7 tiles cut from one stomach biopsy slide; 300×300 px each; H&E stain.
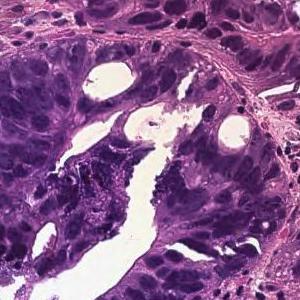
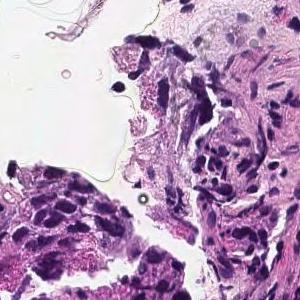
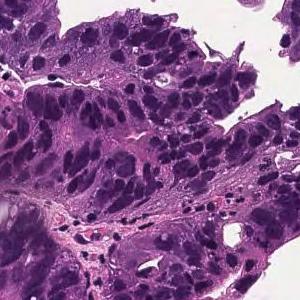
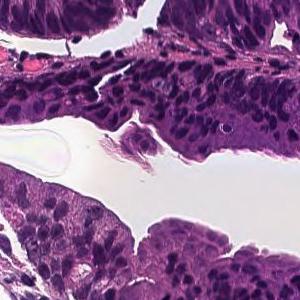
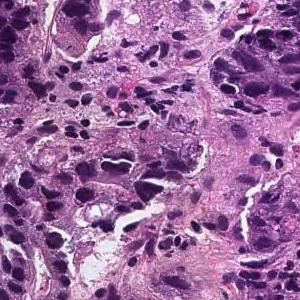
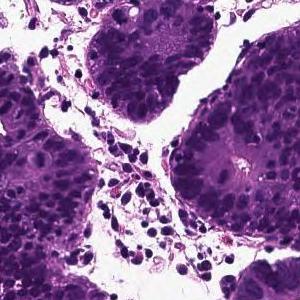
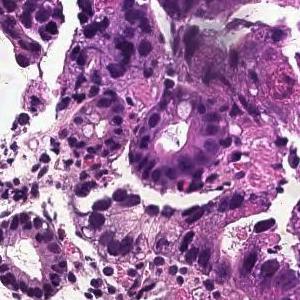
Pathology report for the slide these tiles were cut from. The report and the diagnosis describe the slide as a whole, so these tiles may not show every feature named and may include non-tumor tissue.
In the superficial epithelium, tumor tissue that invades by forming medium-sized to small, irregular ducts is observed. moderately differentiated tubular adenocarcinoma.
